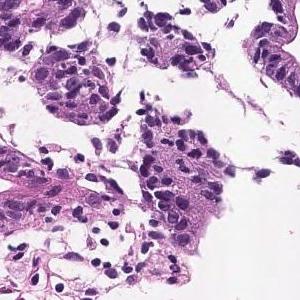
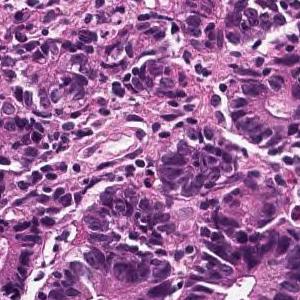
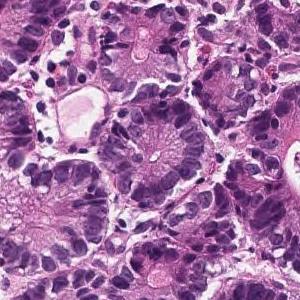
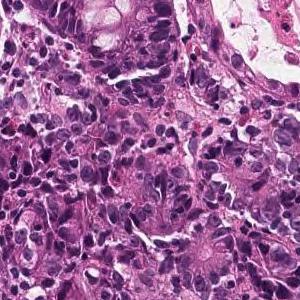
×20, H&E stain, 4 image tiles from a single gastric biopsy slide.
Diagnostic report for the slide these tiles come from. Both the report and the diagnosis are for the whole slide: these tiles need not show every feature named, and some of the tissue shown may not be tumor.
In the superficial epithelium, tumor tissue that invades by forming medium-sized to small, irregular ducts is observed. Moderately differentiated adenocarcinoma.
Tumor subtype: moderately differentiated tubular adenocarcinoma.
